9 patches cut from one gastric biopsy slide; each 300 × 300 pixels; ×20; H&E stain.
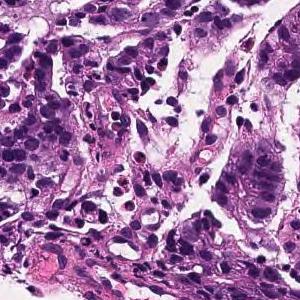
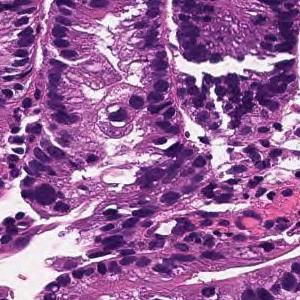
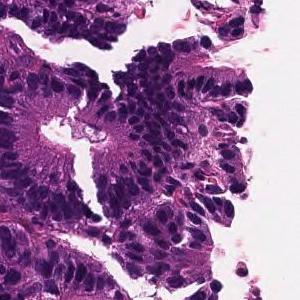
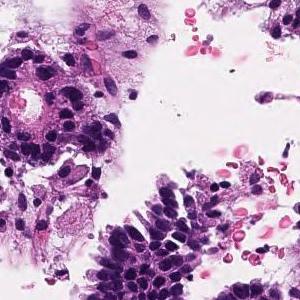
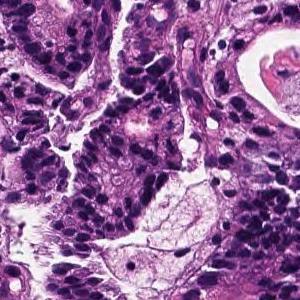
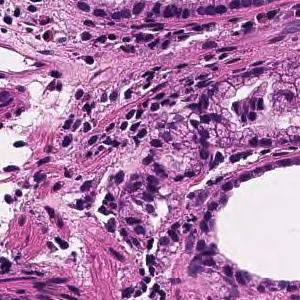
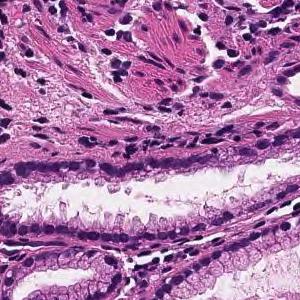
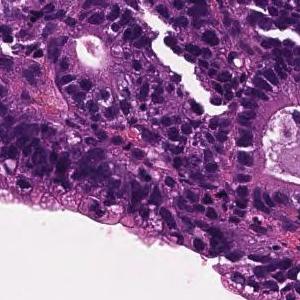
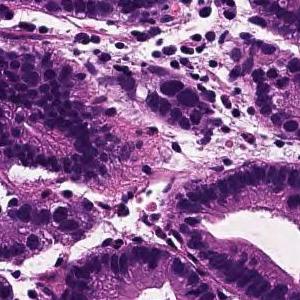
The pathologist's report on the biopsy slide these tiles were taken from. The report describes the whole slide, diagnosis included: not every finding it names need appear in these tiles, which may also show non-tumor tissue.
From the superficial epithelium to the muscularis mucosae, tumor tissue consisting of medium-sized and irregular glandular ducts infiltrating is observed. Well differentiated tubular adenocarcinoma
